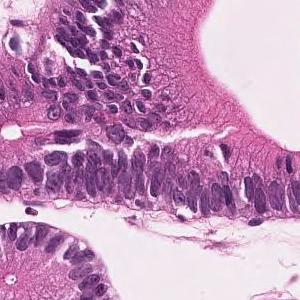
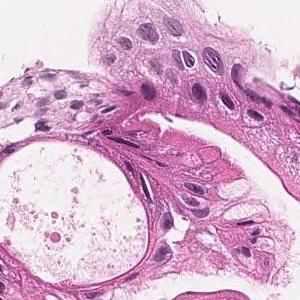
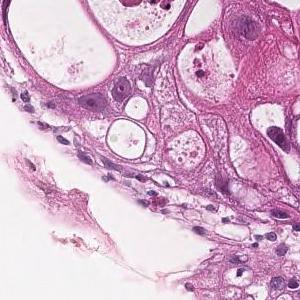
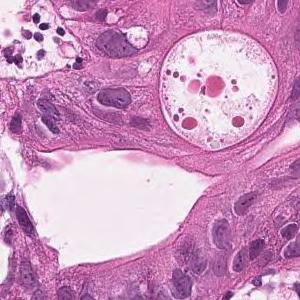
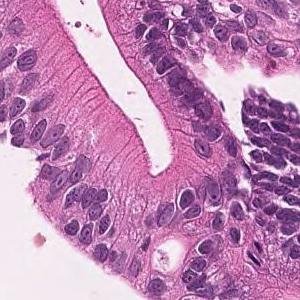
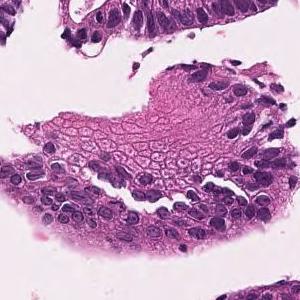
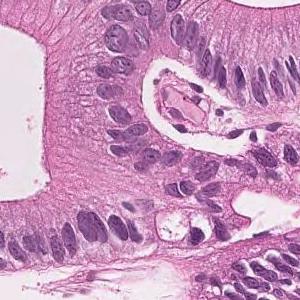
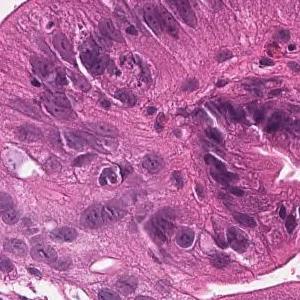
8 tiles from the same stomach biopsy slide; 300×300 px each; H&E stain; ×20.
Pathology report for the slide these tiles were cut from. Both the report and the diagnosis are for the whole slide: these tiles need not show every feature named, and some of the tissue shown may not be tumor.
On the superficial epithelium, tumor tissue that infiltrates by forming medium-sized papillary or small irregular ducts is observed. Papillary adenocarcinoma
